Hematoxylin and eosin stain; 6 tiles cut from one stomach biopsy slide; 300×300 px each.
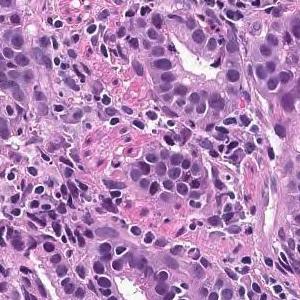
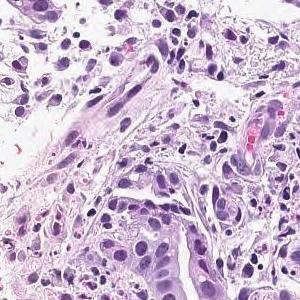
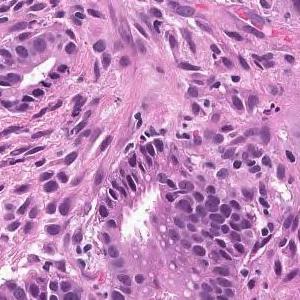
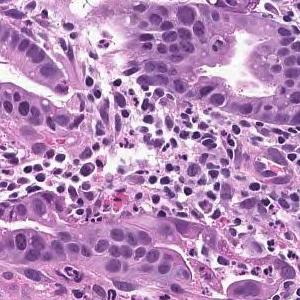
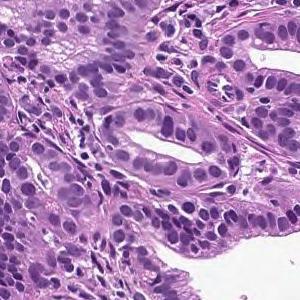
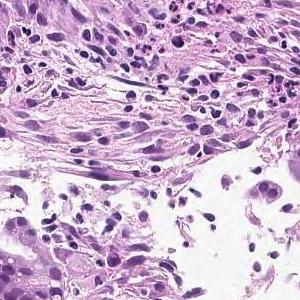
Diagnostic report for the slide these tiles come from. The report describes the whole slide, diagnosis included: not every finding it names need appear in these tiles, which may also show non-tumor tissue.
On the superficial epithelium, tumor tissue that infiltrates by forming medium-sized papillary or small irregular ducts is observed. Papillary adenocarcinoma
